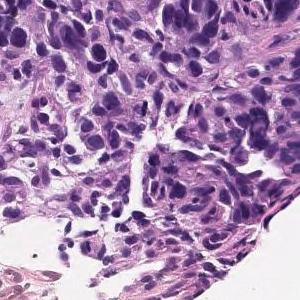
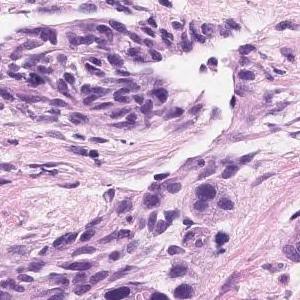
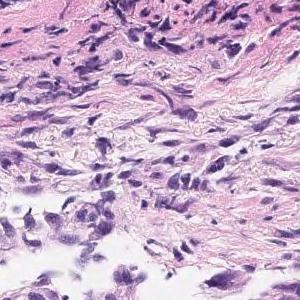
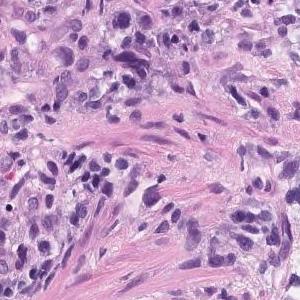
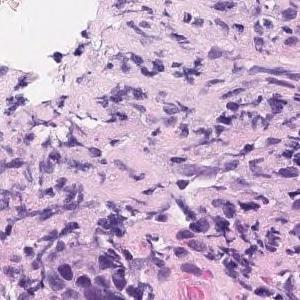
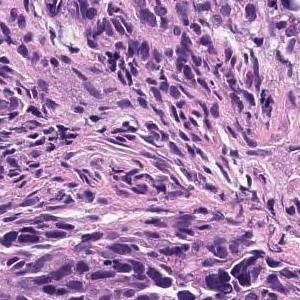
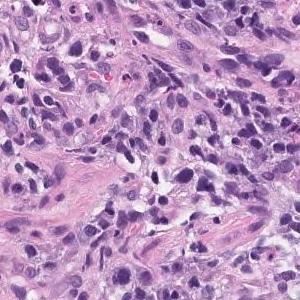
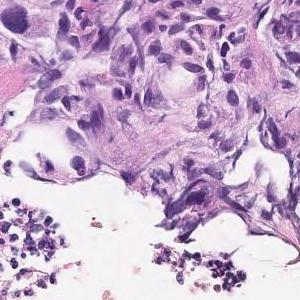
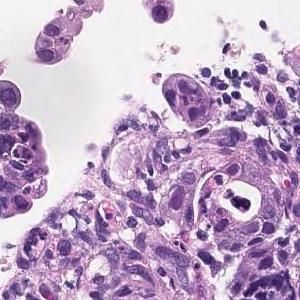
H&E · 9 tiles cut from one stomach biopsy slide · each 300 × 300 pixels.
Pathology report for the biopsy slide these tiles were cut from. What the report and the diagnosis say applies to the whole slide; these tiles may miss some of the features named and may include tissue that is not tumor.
Group 5, Moderately differentiated adenocarcinoma
Classified as moderately differentiated tubular adenocarcinoma.
